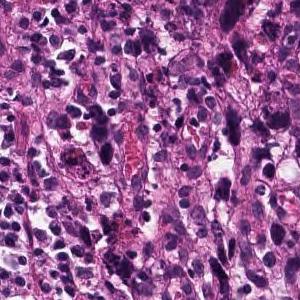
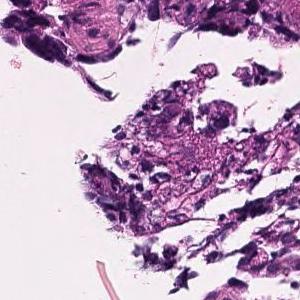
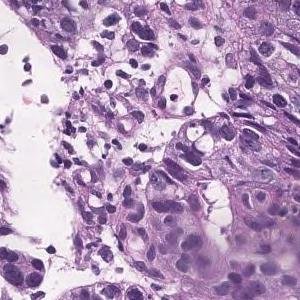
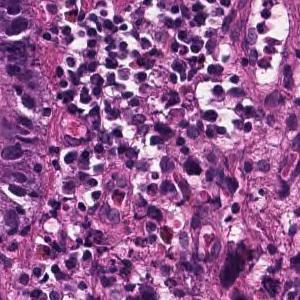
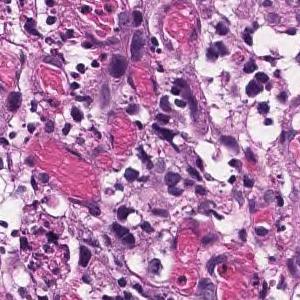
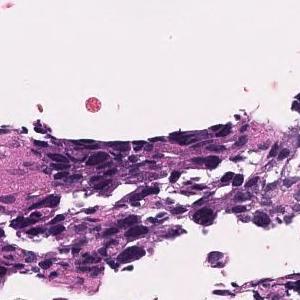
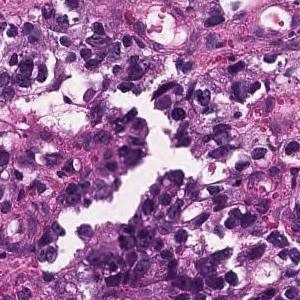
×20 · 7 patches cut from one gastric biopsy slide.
Diagnostic report for the slide these tiles come from. The report and the diagnosis cover the entire slide, so not every feature they name need be visible here, and some tissue shown may not be tumor.
Tumor tissue consisting of medium-sized, cord-like or irregular glandular infiltration is observed in the superficial epithelium. Poorly differentiated adenocarcinoma, non-solid type or moderately differentiated tubular adenocarcinoma
The non-solid type named here is a Japanese Classification of Gastric Carcinoma category.
